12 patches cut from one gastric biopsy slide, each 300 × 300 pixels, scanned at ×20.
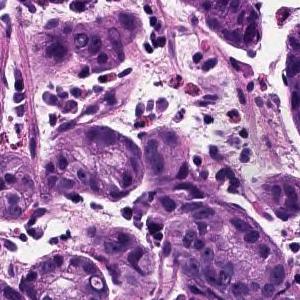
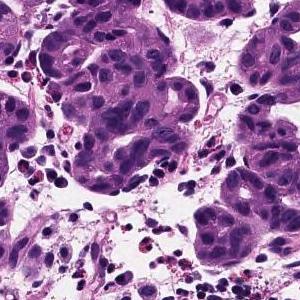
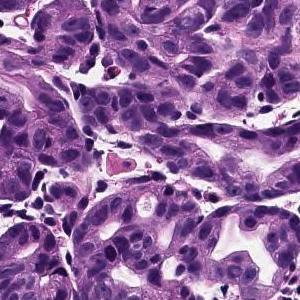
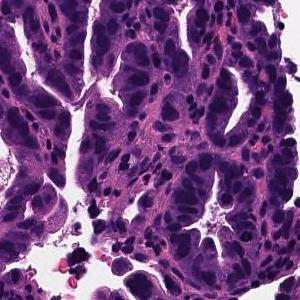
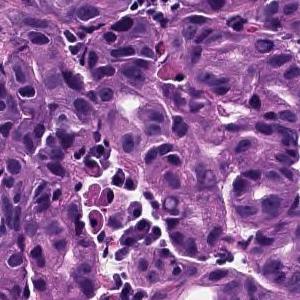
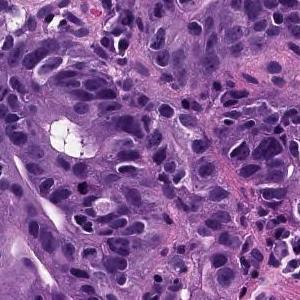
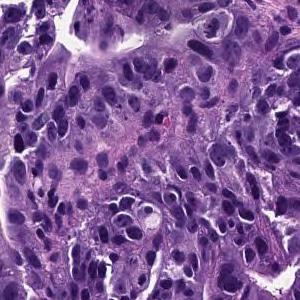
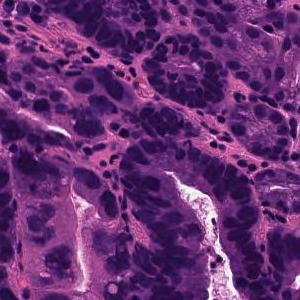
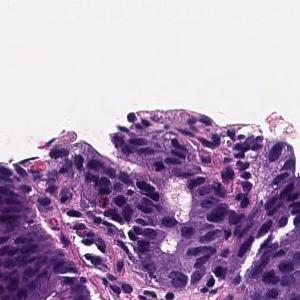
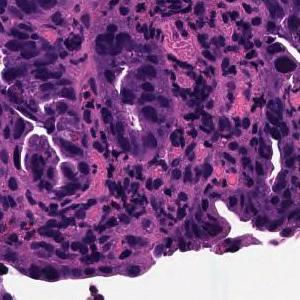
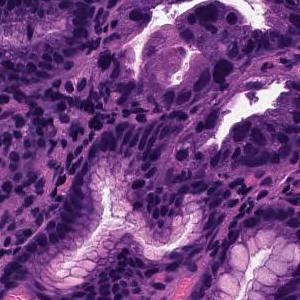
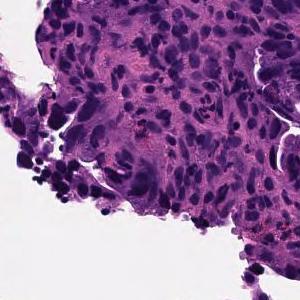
The pathologist's report on the biopsy slide these tiles were taken from. What the report and the diagnosis say applies to the whole slide; these tiles may miss some of the features named and may include tissue that is not tumor.
On the superficial epithelium, tumor tissue consisting of large irregular glandular ducts partially fused and infiltrated is observed. Well to moderately differentiated tubular adenocarcinoma (well differentiated tubular adenocarcinoma, moderately differentiated tubular adenocarcinoma)
Tumor subtype: well to moderately differentiated tubular adenocarcinoma.
